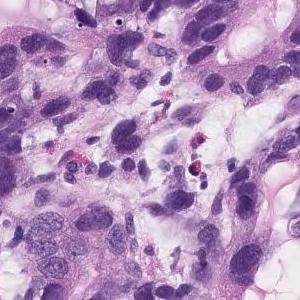
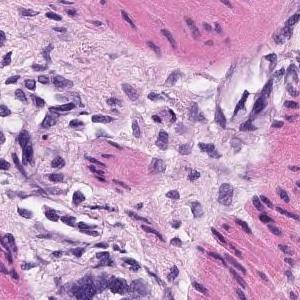
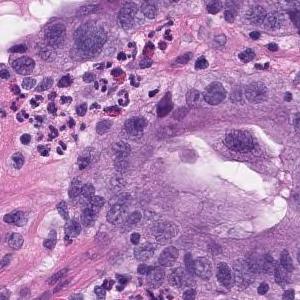
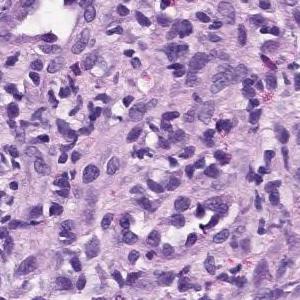
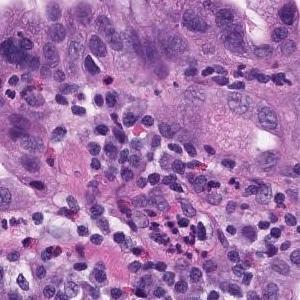
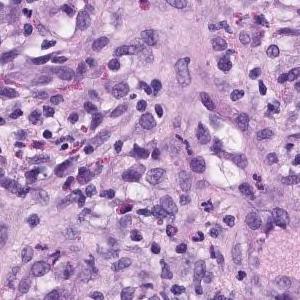
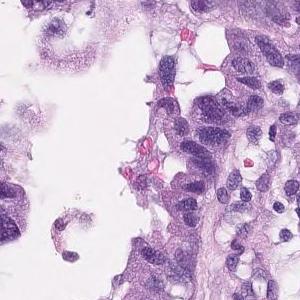
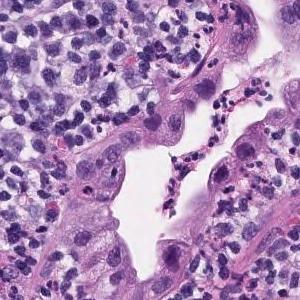
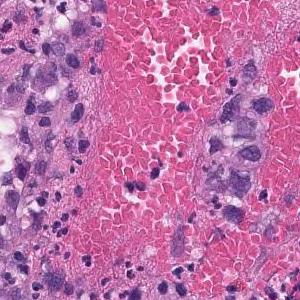
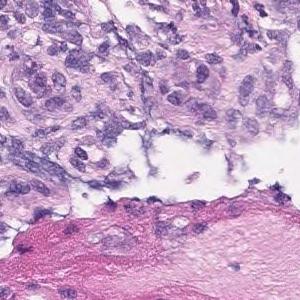
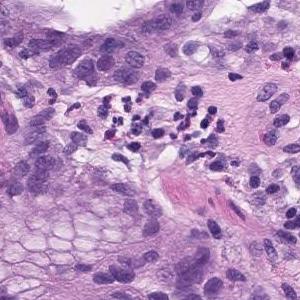
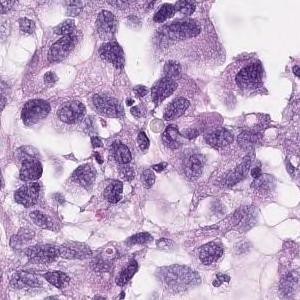
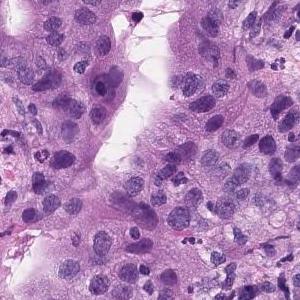
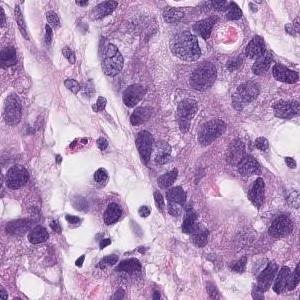
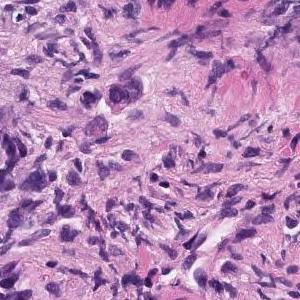
15 tiles cut from one stomach biopsy slide, 300 × 300 pixels each, ×20, H&E.
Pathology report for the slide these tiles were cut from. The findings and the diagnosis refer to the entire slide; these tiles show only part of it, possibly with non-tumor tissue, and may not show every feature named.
Group 5, Adenocarcinoma. Moderately to poorly differentiated adenocarcinoma
